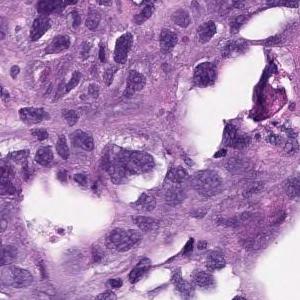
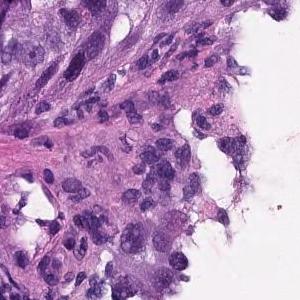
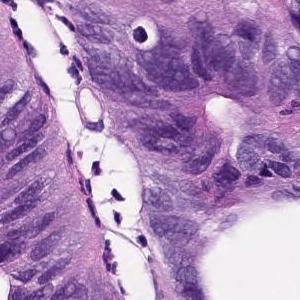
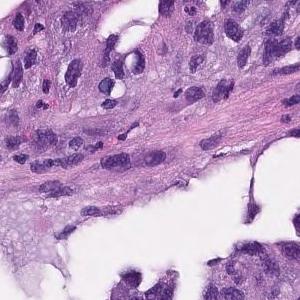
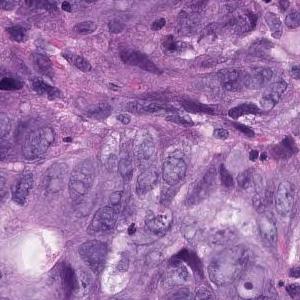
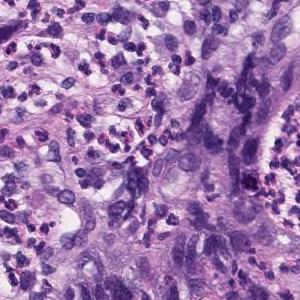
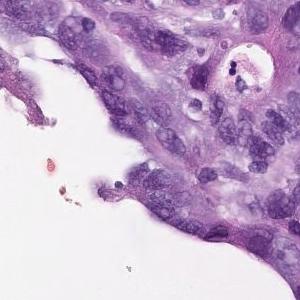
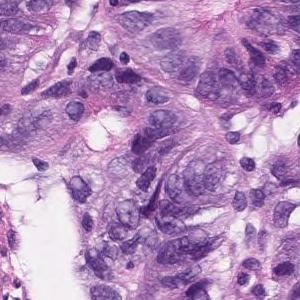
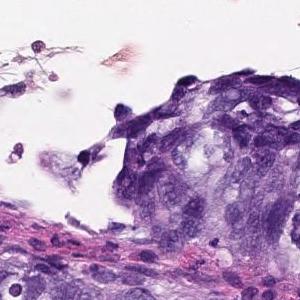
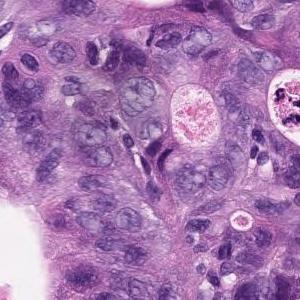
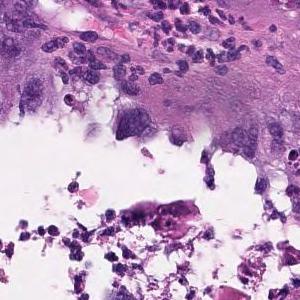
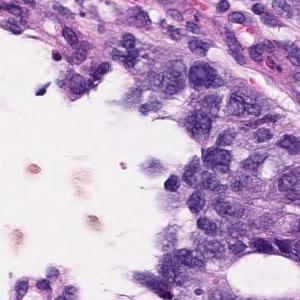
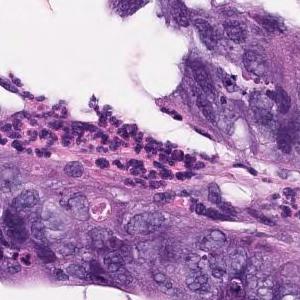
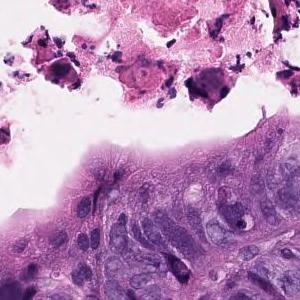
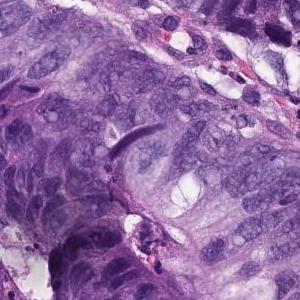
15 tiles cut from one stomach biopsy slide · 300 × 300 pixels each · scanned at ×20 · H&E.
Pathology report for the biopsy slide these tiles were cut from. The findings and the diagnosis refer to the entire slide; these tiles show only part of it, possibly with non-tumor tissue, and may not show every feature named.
In the superficial epithelium, tumor tissue that invades by forming medium-sized to small, irregular ducts is observed. Moderately differentiated adenocarcinoma.
Subtype: Moderately differentiated tubular adenocarcinoma.
